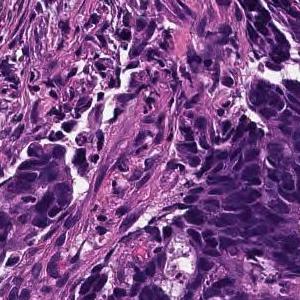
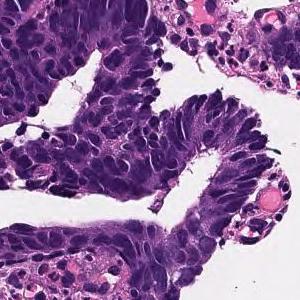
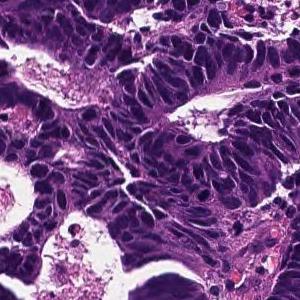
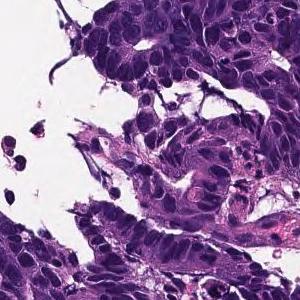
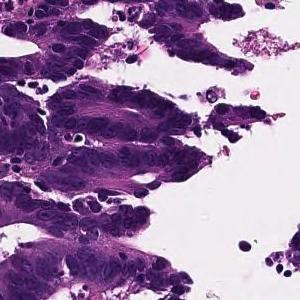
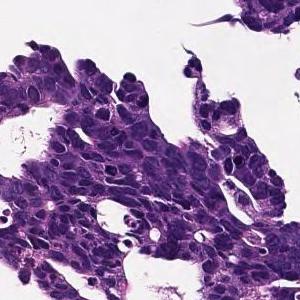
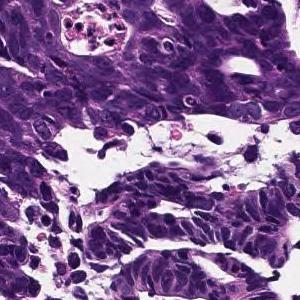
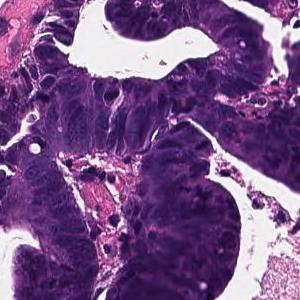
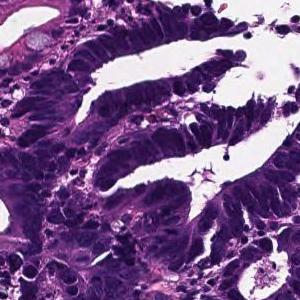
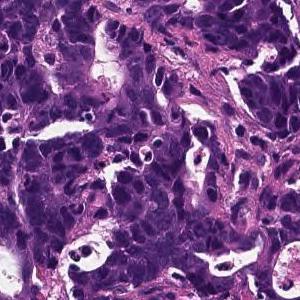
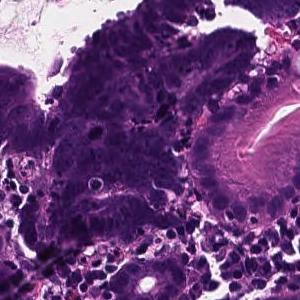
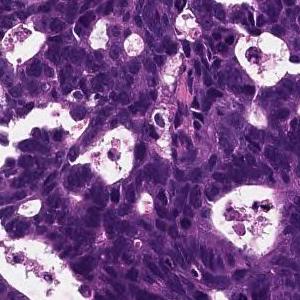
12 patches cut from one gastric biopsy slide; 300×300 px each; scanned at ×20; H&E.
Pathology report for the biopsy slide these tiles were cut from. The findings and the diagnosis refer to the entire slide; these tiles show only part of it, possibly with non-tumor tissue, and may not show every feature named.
In the superficial epithelium, tumor tissue that invades by forming medium-sized to small, irregular ducts is observed. moderately differentiated tubular adenocarcinoma.
